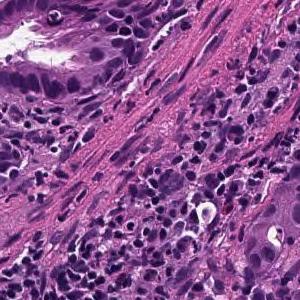
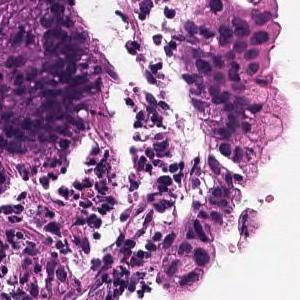
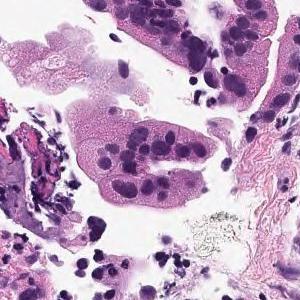
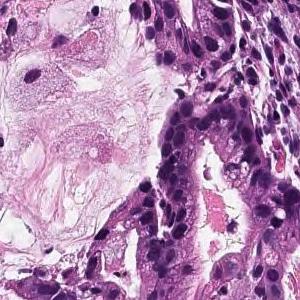
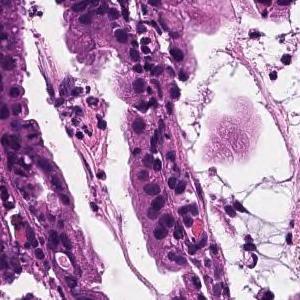
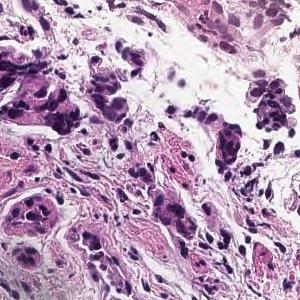
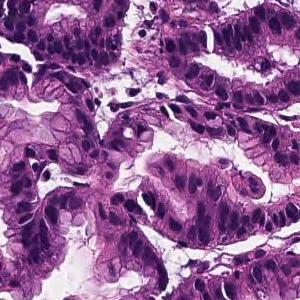
7 tiles cut from one stomach biopsy slide, each 300 × 300 pixels, scanned at ×20, H&E stain.
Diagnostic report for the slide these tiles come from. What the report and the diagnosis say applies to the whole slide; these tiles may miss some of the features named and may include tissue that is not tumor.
Tumor cells are large, highly columnar, large club-shaped nuclei, and are associated with chromatin aggregation. Papillary adenocarcinoma.
